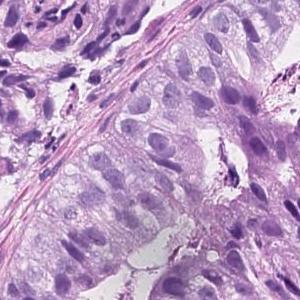
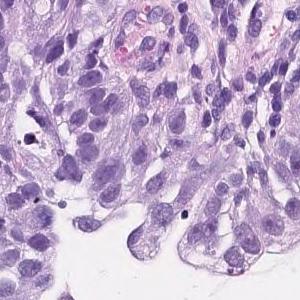
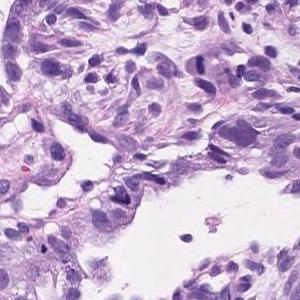
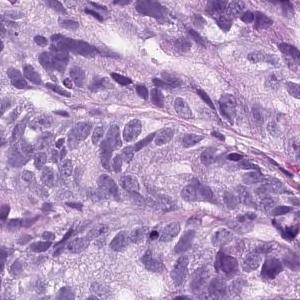
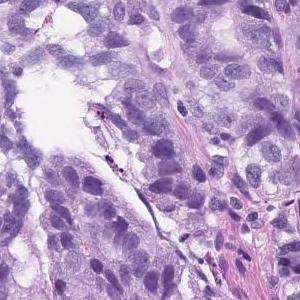
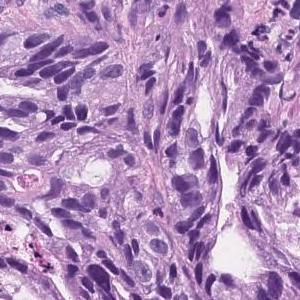
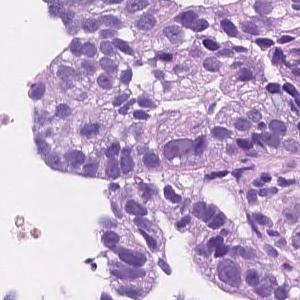
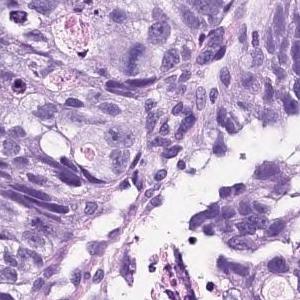
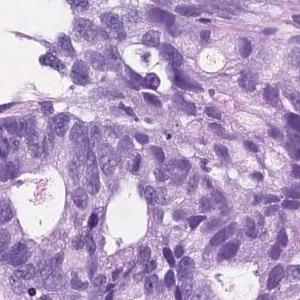
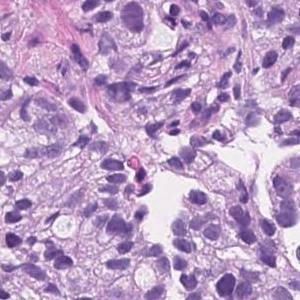
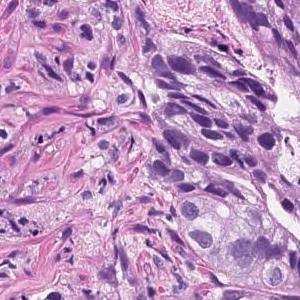
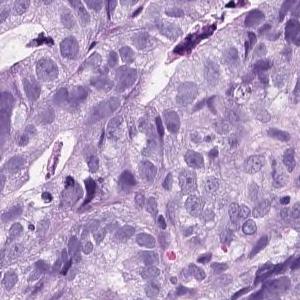
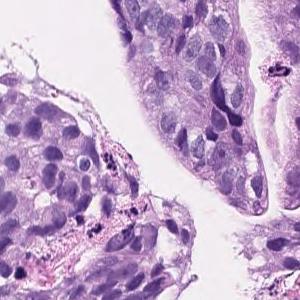
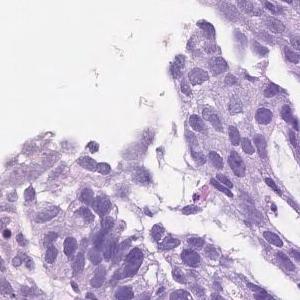
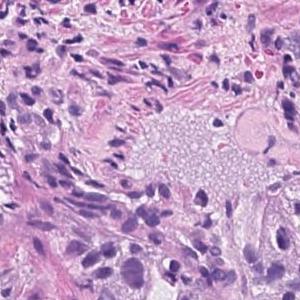
20× magnification; H&E stain; 15 patches cut from one gastric biopsy slide; 300×300 px each.
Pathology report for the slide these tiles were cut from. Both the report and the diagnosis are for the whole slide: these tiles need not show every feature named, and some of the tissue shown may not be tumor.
On the superficial epithelium, tumor tissue consisting of an image of large, irregular glandular ducts partially fused and infiltrated is observed. Well to moderately differentiated tubular adenocarcinoma
